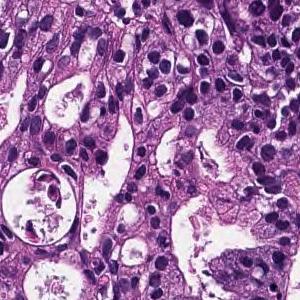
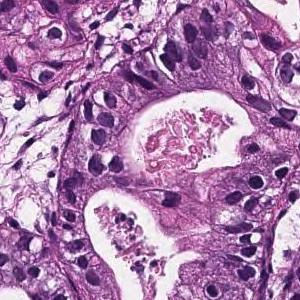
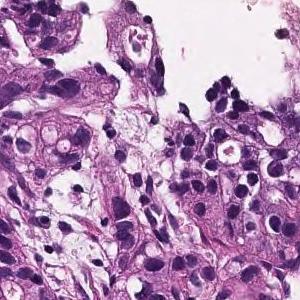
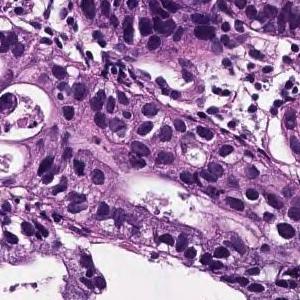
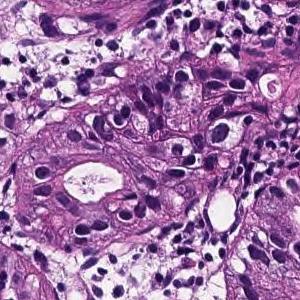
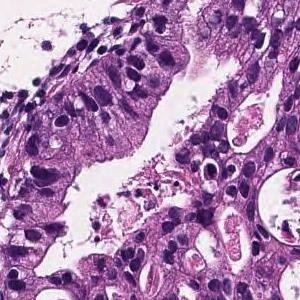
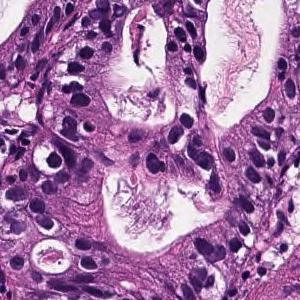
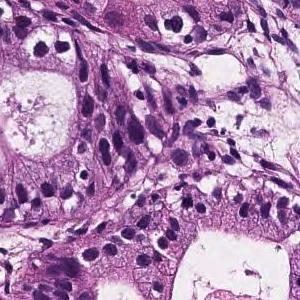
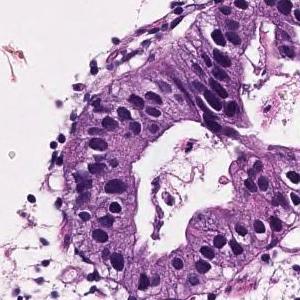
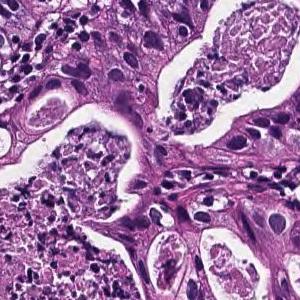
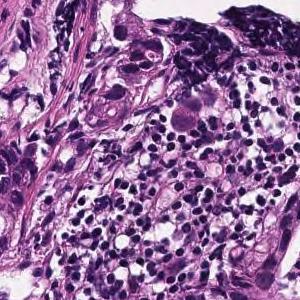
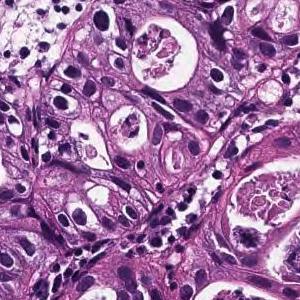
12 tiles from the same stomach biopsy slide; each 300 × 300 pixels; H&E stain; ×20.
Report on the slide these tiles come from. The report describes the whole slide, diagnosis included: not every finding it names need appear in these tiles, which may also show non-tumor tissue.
From the superficial epithelium to the muscularis mucosae, tumor tissue infiltrating by forming medium-sized irregular gland ducts is observed. Large tumor cells exhibit large nucleus and hyperchromatism. Well differentiated tubular adenocarcinoma
